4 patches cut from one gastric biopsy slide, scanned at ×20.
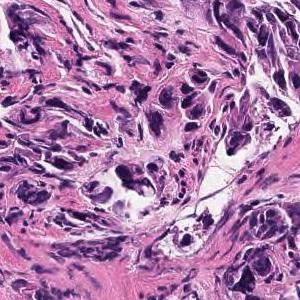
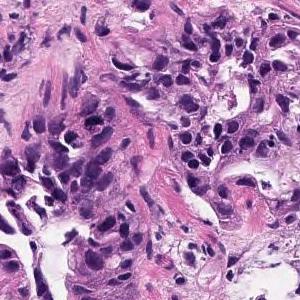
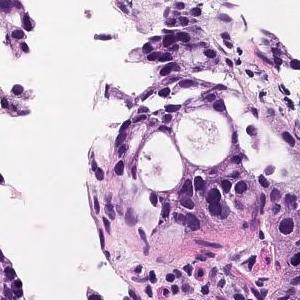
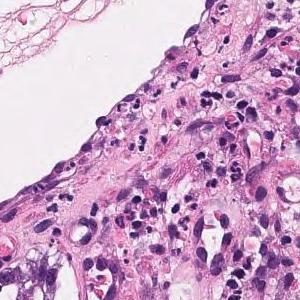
The pathologist's report on the biopsy slide these tiles were taken from. What the report and the diagnosis say applies to the whole slide; these tiles may miss some of the features named and may include tissue that is not tumor.
In the superficial epithelium, tumor tissue that invades by forming medium-sized to small, irregular ducts is observed. Moderately differentiated adenocarcinoma.
Classified as moderately differentiated tubular adenocarcinoma.
